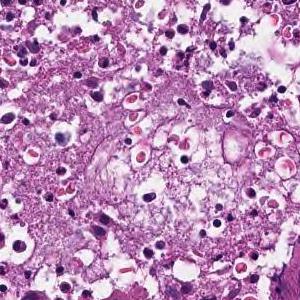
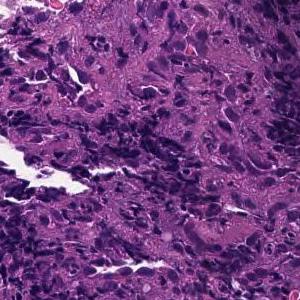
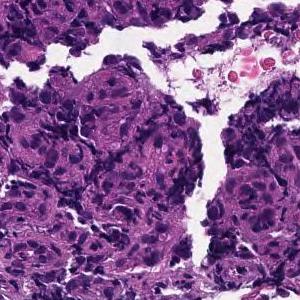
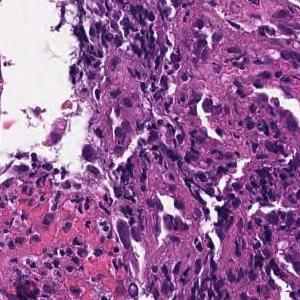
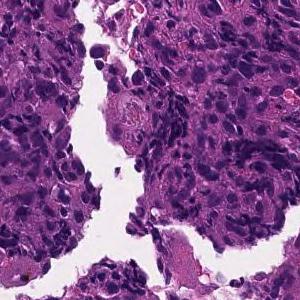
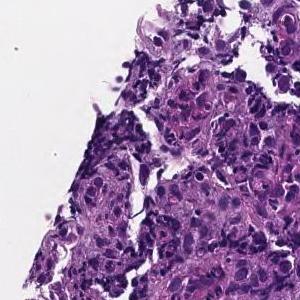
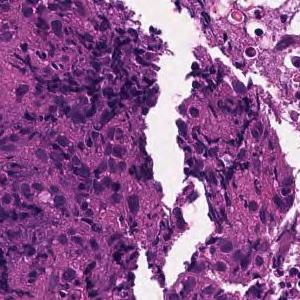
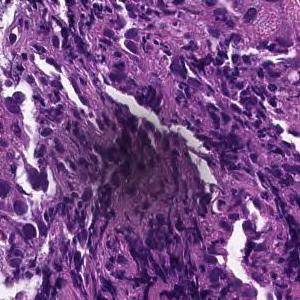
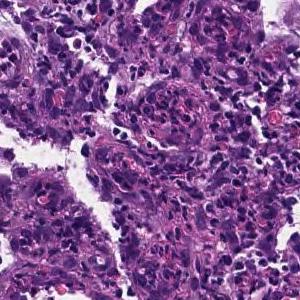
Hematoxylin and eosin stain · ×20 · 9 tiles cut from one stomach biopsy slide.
Report on the slide these tiles come from. What the report and the diagnosis say applies to the whole slide; these tiles may miss some of the features named and may include tissue that is not tumor.
Tumor cells are medium to large, cuboidal, and have little tendency to differentiate. Poorly differentiated adenocarcinoma, solid-type  or moderately differentiated tubular adenocarcinoma
Labeled in the dataset as poorly differentiated adenocarcinoma, solid type. This name comes from the Japanese Classification of Gastric Carcinoma; the WHO 2019 classification calls it tubular adenocarcinoma, poorly differentiated.
